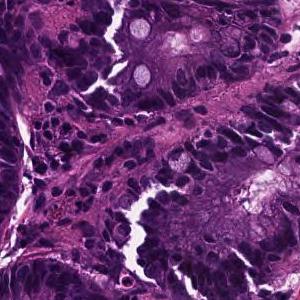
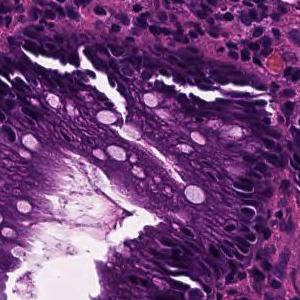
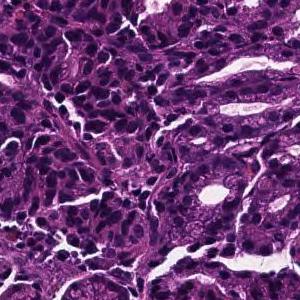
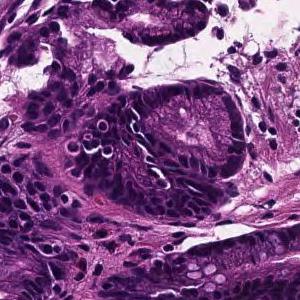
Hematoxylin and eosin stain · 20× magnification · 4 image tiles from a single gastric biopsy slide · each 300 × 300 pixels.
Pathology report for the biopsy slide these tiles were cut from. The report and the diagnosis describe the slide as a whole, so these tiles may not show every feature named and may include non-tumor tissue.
In the superficial epithelium, tumor tissue that invades by forming medium-sized to small, irregular ducts is observed. Well differentiated tubular adenocarcinoma.
